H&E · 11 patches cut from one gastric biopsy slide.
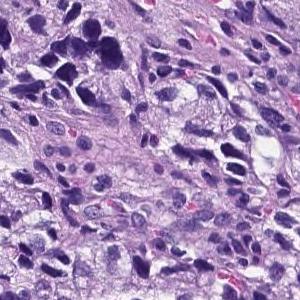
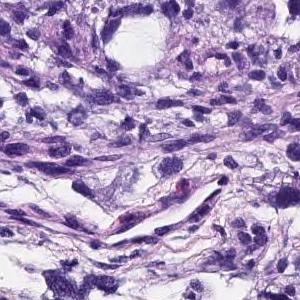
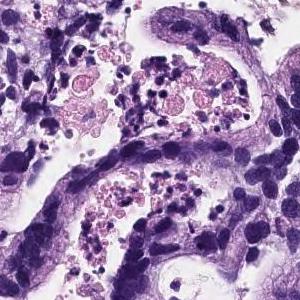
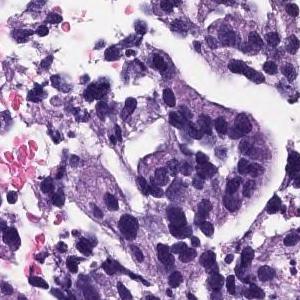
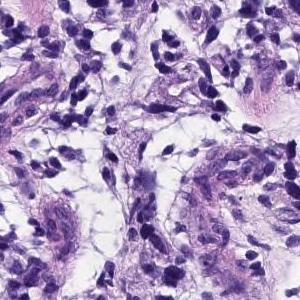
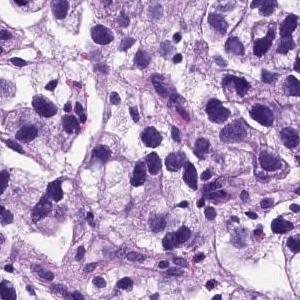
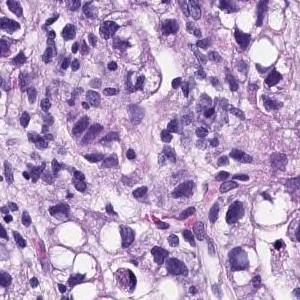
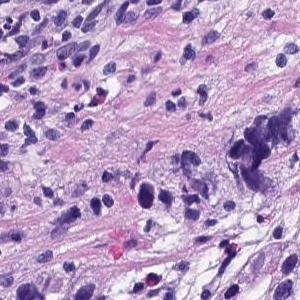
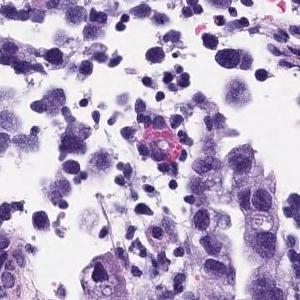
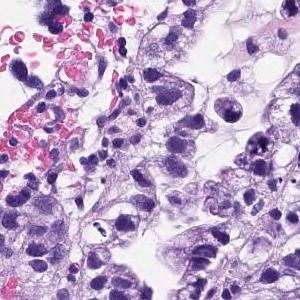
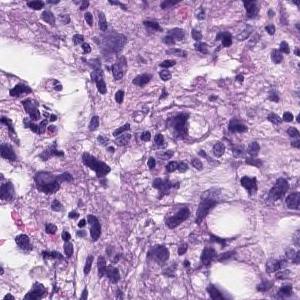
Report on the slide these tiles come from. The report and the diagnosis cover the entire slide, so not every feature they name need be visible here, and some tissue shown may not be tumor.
Medium to small, irregular glandular ducts are formed in the superficial epithelium, and in some cases, the glandular ducts are fused to show solid alveolar lesions and infiltrating tumor tissue is observed. Poorly differentiated adenocarcinoma, Moderately differentiated adenocarcinoma.
The dataset labels this slide moderately differentiated tubular adenocarcinoma.
